14 tiles from the same stomach biopsy slide, 300 × 300 pixels each.
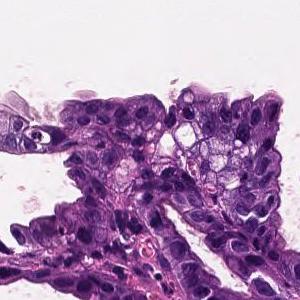
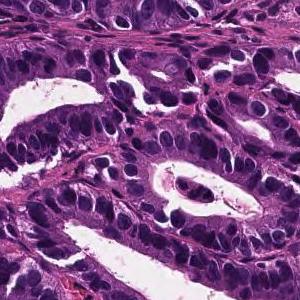
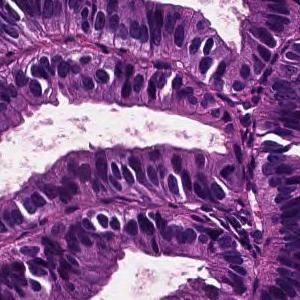
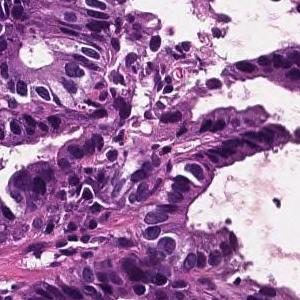
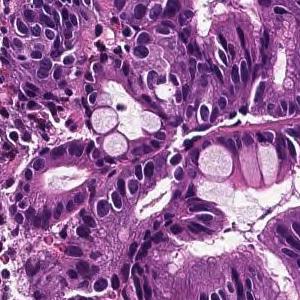
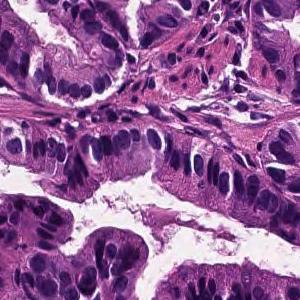
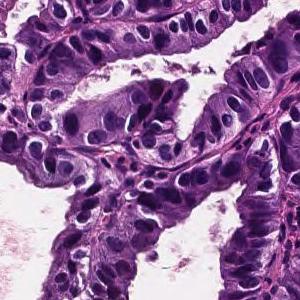
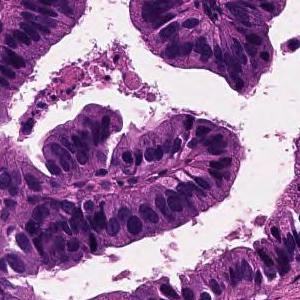
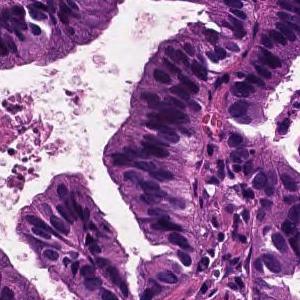
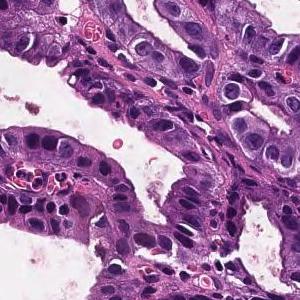
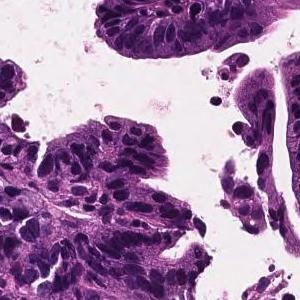
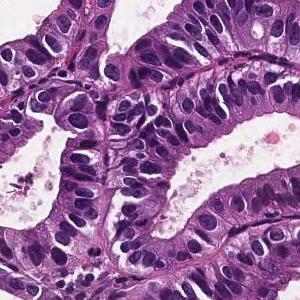
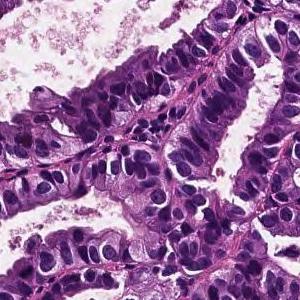
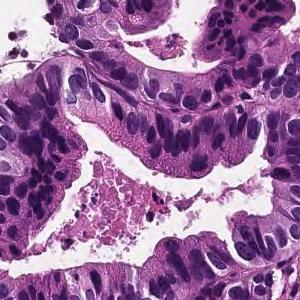
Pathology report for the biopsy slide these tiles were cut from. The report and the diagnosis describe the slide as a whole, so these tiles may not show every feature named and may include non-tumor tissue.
From the superficial epithelium to the muscularis mucosae, tumor tissue consisting of medium-sized and irregular glandular ducts infiltrating is observed. Well differentiated tubular adenocarcinoma
